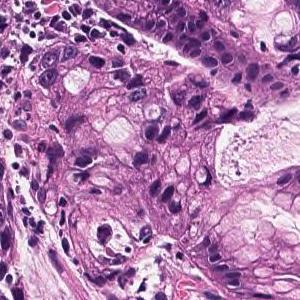
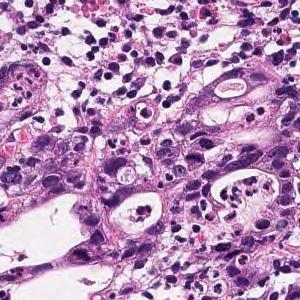
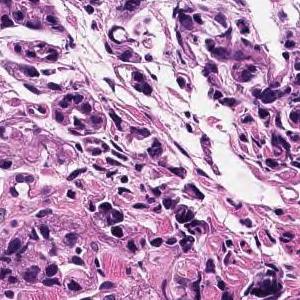
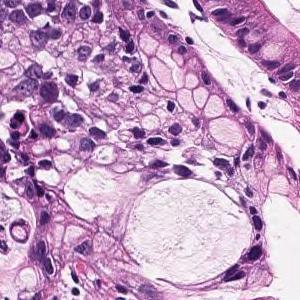
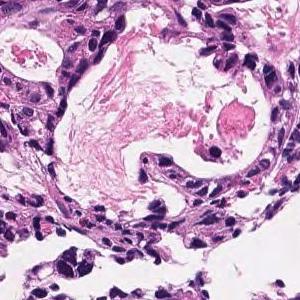
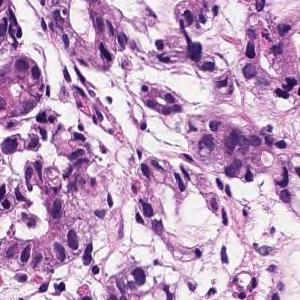
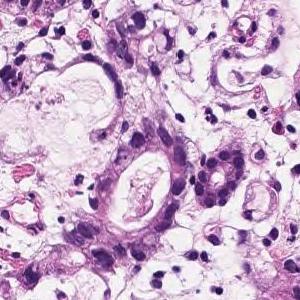
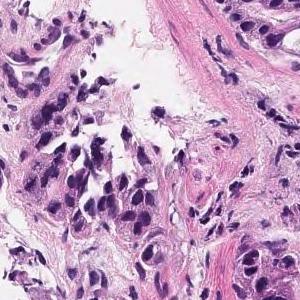
8 image tiles from a single gastric biopsy slide; hematoxylin and eosin stain; 20× magnification.
Diagnostic report for the slide these tiles come from. The report describes the whole slide, diagnosis included: not every finding it names need appear in these tiles, which may also show non-tumor tissue.
In the superficial epithelium, tumor tissue that invades by forming medium-sized to small, irregular ducts is observed. Moderately differentiated adenocarcinoma.
Histological subtype: Moderately differentiated tubular adenocarcinoma.
